Scanned at ×20; 16 image tiles from a single gastric biopsy slide; 300 × 300 pixels each.
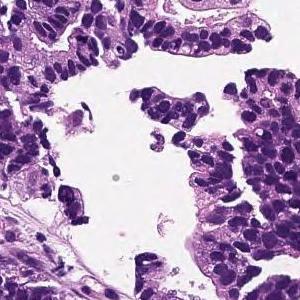
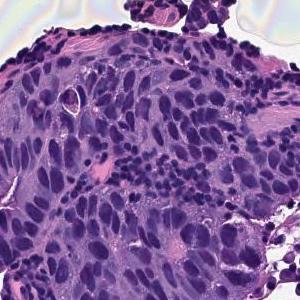
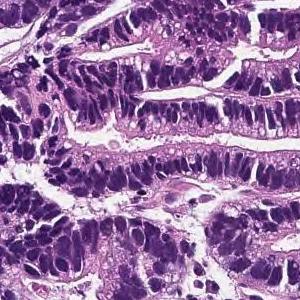
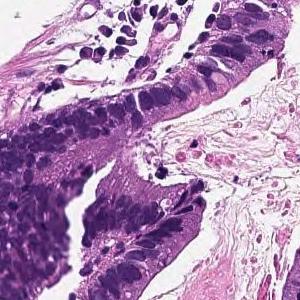
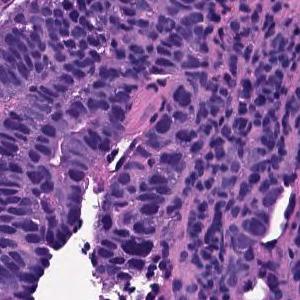
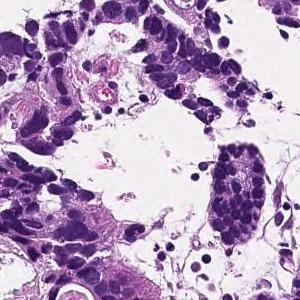
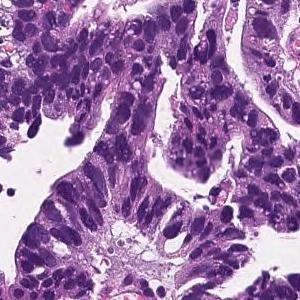
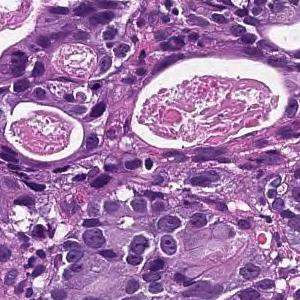
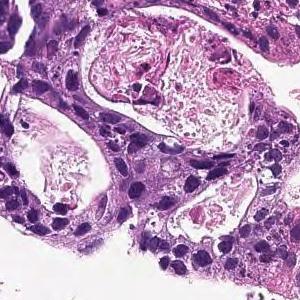
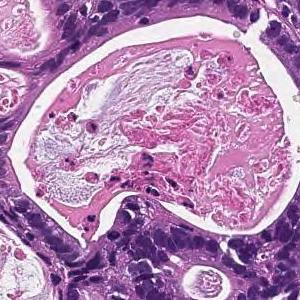
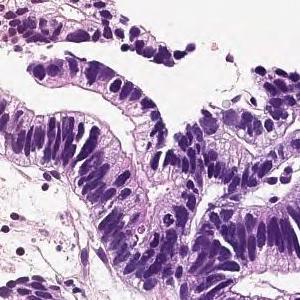
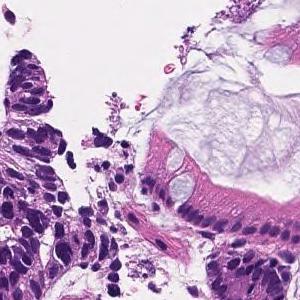
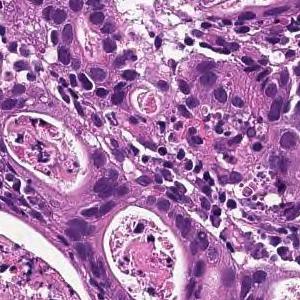
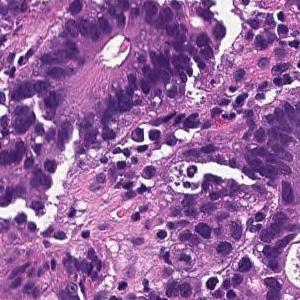
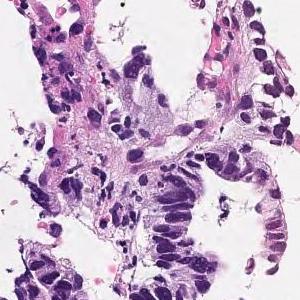
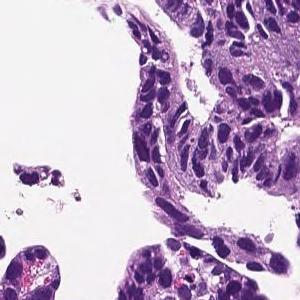
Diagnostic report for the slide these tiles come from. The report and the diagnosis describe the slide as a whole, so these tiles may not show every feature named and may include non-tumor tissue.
In the superficial epithelium, tumor tissue that invades by forming medium-sized to small, irregular ducts is observed. moderately differentiated tubular adenocarcinoma.
